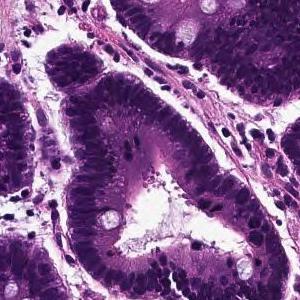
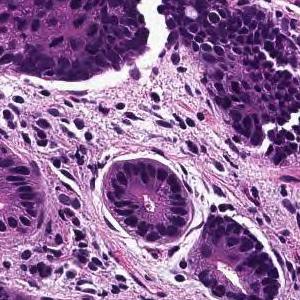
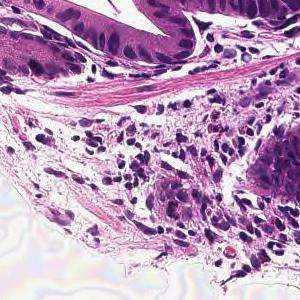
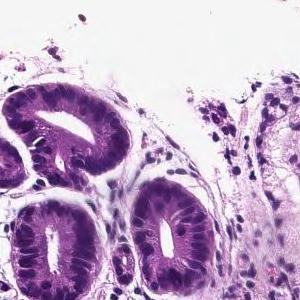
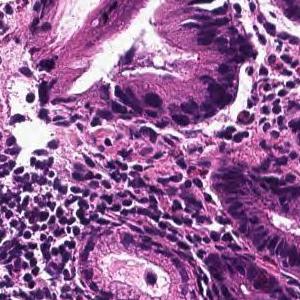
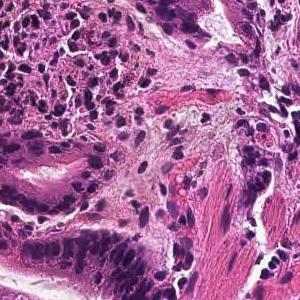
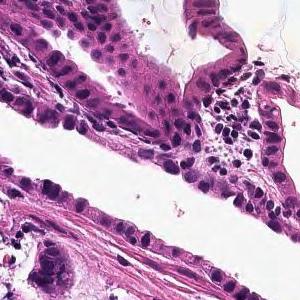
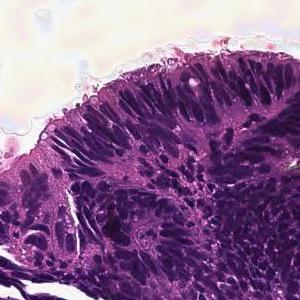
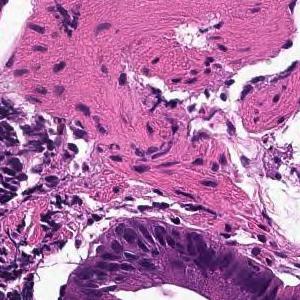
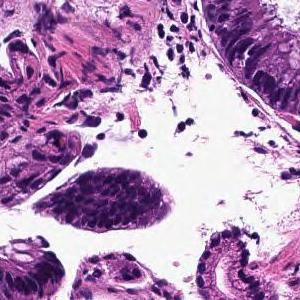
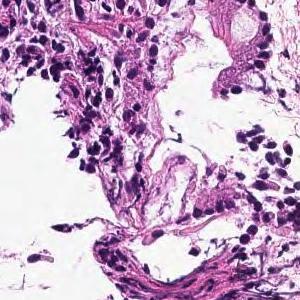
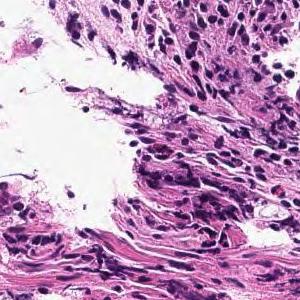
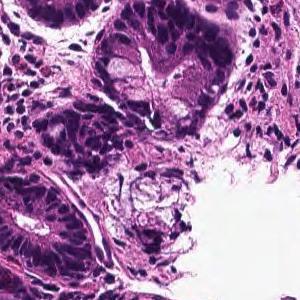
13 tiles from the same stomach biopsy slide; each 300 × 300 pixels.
Diagnostic report for the slide these tiles come from. The findings and the diagnosis refer to the entire slide; these tiles show only part of it, possibly with non-tumor tissue, and may not show every feature named.
From the superficial epithelium to the muscularis mucosae, tumor tissue consisting of medium-sized and irregular glandular ducts infiltrating is observed. Well differentiated tubular adenocarcinoma
